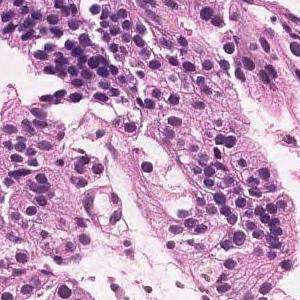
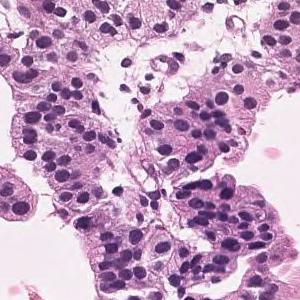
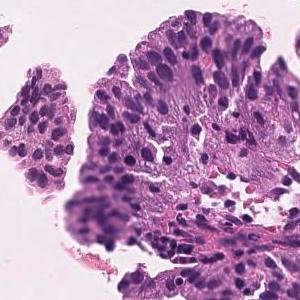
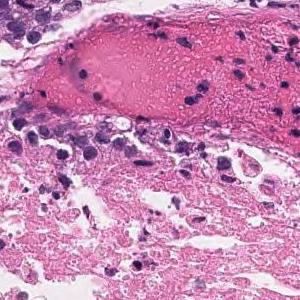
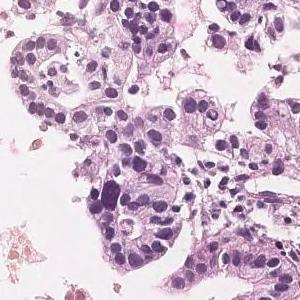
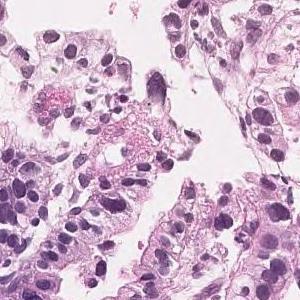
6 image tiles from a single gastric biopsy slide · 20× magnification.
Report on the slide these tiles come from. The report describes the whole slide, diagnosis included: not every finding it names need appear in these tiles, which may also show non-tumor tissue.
In the superficial epithelium, tumor tissue that invades by forming medium-sized to small, irregular ducts is observed. moderately differentiated tubular adenocarcinoma.
